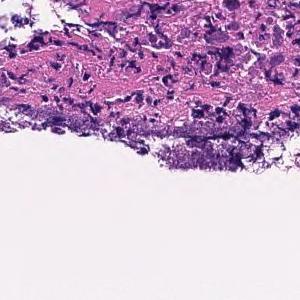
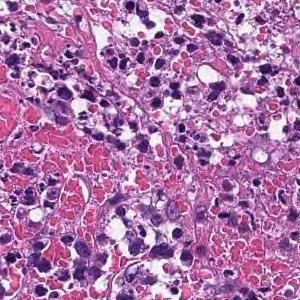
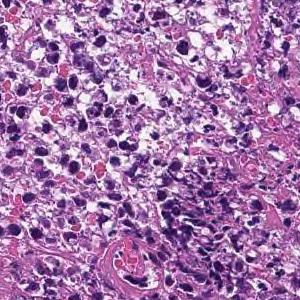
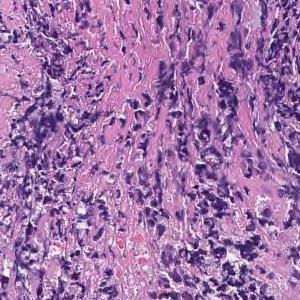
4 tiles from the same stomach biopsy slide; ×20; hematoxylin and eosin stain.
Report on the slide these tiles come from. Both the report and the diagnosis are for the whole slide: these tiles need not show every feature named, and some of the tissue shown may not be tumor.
Most are composed of coagulative necrotic tissue, but some show a large sheet-like shape, and some show tumor tissue infiltrating with a small cord-like structure. Poorly differentiated adenocarcinoma, solid-type
Histologic type: Poorly differentiated adenocarcinoma, solid type (Japanese Classification of Gastric Carcinoma). The WHO 2019 equivalent is tubular adenocarcinoma, poorly differentiated.
